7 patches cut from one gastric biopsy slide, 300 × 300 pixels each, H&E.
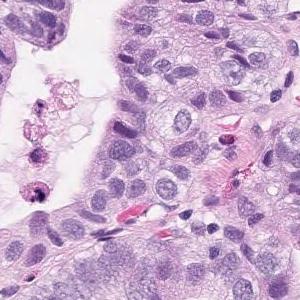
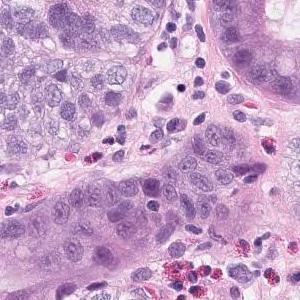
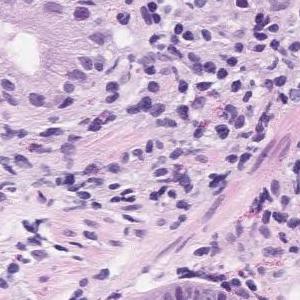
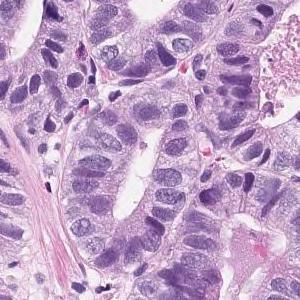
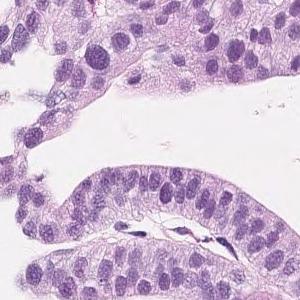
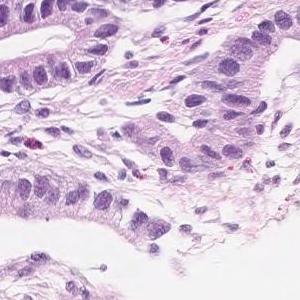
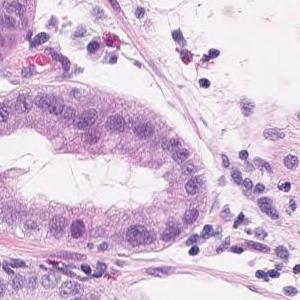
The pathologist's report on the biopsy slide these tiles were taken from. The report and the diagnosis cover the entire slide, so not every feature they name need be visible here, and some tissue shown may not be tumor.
Short atypical epithelium with swelling of the nucleus shows proliferating, large and small irregular ductal structures. Well to moderately differentiated tubular adenocarcinoma (well differentiated tubular adenocarcinoma-moderately differentiated tubular adenocarcinoma)
Tumor subtype: well to moderately differentiated tubular adenocarcinoma.
